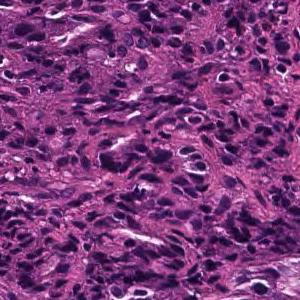
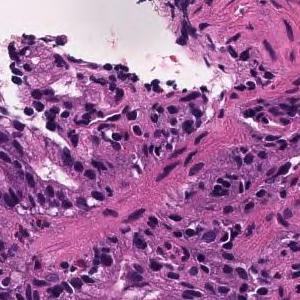
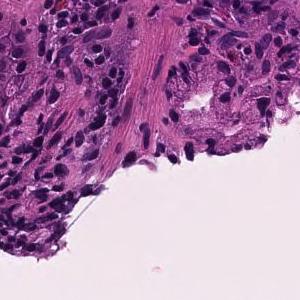
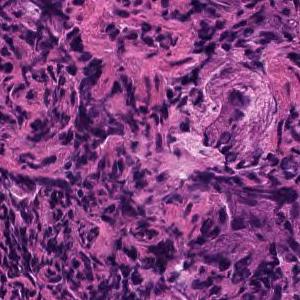
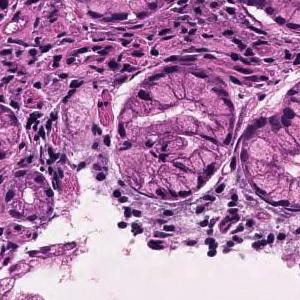
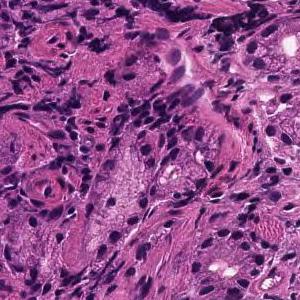
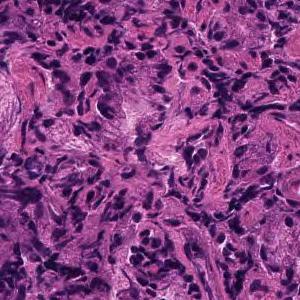
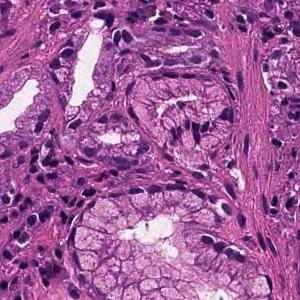
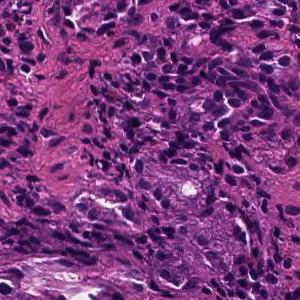
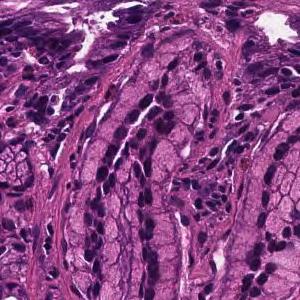
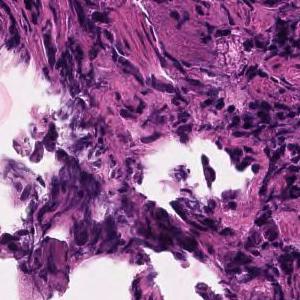
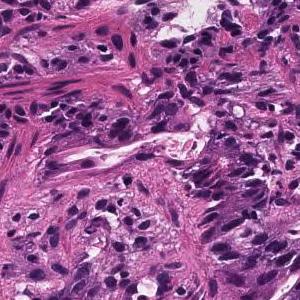
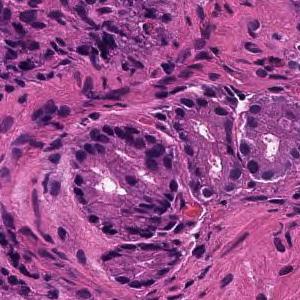
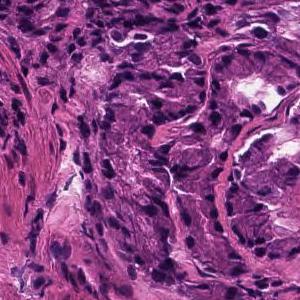
14 image tiles from a single gastric biopsy slide, hematoxylin and eosin stain, scanned at ×20.
The pathologist's report on the biopsy slide these tiles were taken from. The findings and the diagnosis refer to the entire slide; these tiles show only part of it, possibly with non-tumor tissue, and may not show every feature named.
In the superficial epithelium, tumor tissue that invades by forming medium-sized to small, irregular ducts is observed. moderately differentiated tubular adenocarcinoma.
